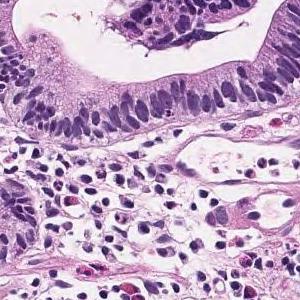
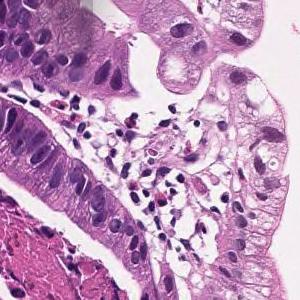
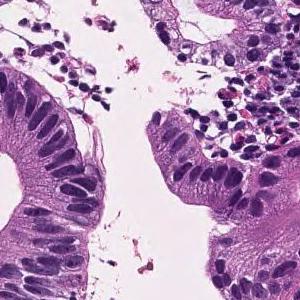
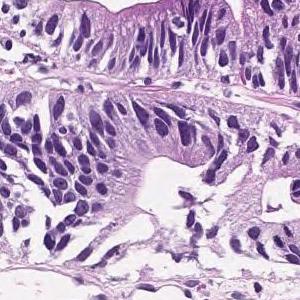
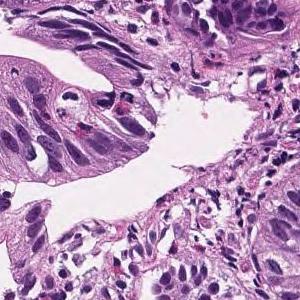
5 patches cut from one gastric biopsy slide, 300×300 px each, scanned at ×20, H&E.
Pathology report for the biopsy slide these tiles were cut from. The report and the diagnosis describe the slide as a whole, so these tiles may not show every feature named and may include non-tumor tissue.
In the superficial epithelium, tumor tissue that invades by forming medium-sized to small, irregular ducts is observed. Well differentiated tubular adenocarcinoma.
